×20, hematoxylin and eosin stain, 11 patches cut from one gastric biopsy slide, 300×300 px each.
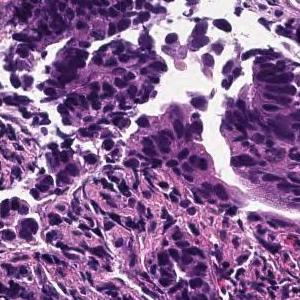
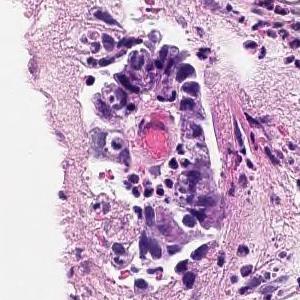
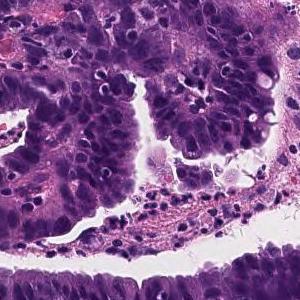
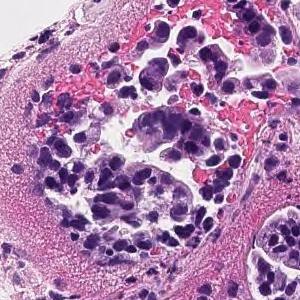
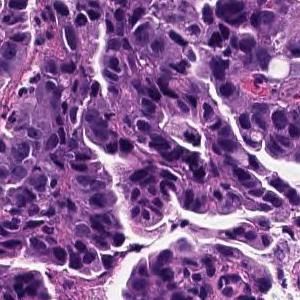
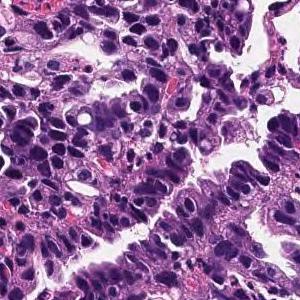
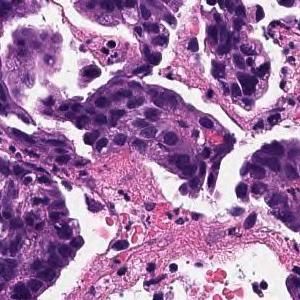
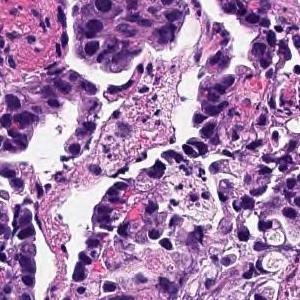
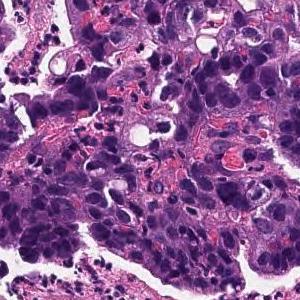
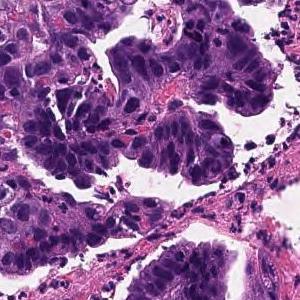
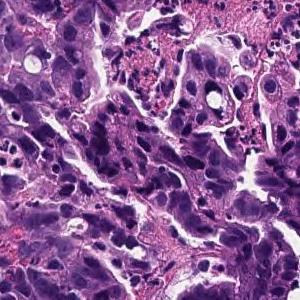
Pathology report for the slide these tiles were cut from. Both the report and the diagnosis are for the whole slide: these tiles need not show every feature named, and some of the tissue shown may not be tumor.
Infiltrating tumor tissue is observed in the superficial epithelium, showing large papillary structures or large and small ducts. Papillary adenocarcinoma
